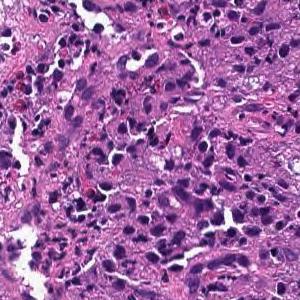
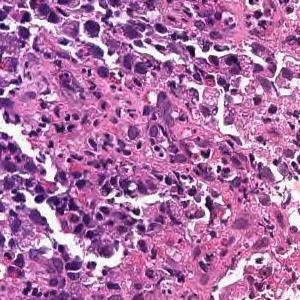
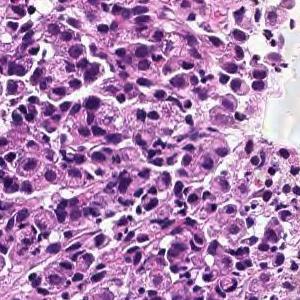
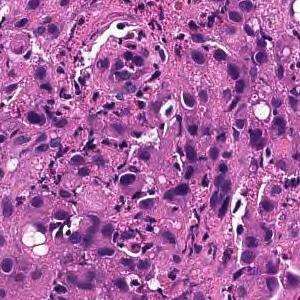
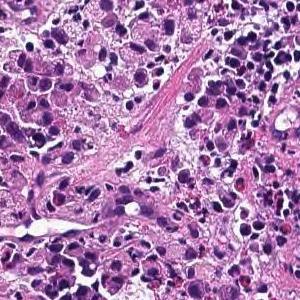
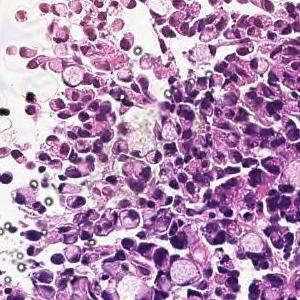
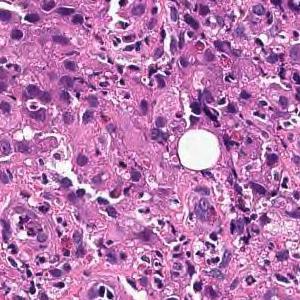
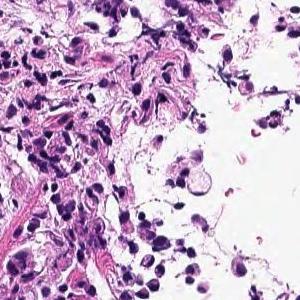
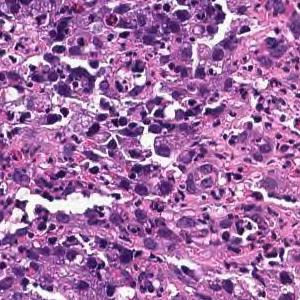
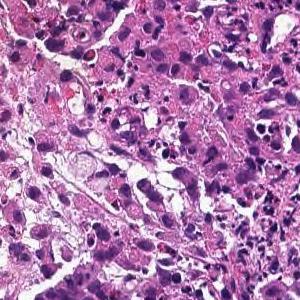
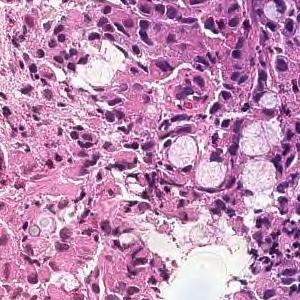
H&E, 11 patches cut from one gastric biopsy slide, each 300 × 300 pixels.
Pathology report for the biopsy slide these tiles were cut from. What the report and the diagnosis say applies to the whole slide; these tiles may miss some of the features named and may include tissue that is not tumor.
Tumor tissue consisting of diffusely infiltrated large atypical epithelial cells or signet ring atypical cells is observed in the superficial epithelium. Poorly differentiated adenocarcinoma, solid-type
Subtype: Poorly differentiated adenocarcinoma, solid type. This name comes from the Japanese Classification of Gastric Carcinoma; the WHO 2019 classification calls it tubular adenocarcinoma, poorly differentiated.
